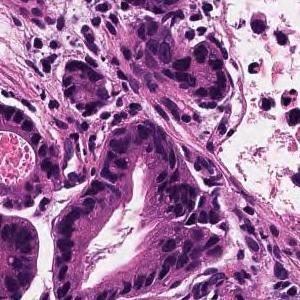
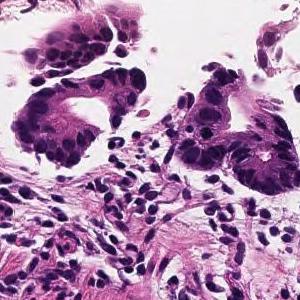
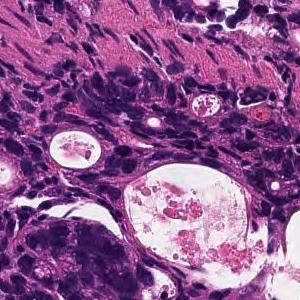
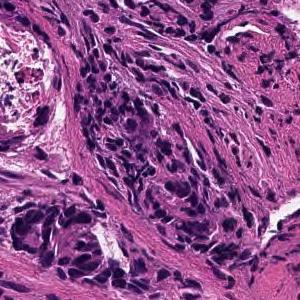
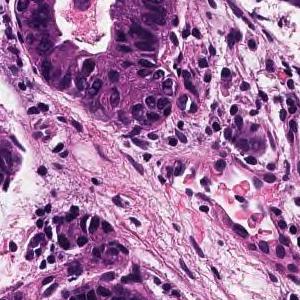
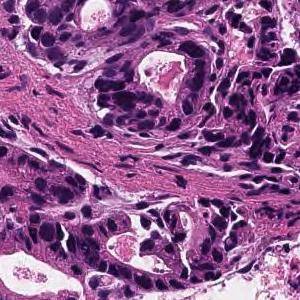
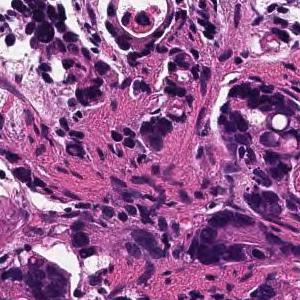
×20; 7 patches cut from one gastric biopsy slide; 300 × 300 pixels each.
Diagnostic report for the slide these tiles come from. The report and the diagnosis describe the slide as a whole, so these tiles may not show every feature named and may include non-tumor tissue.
In the superficial epithelium, tumor tissue that invades by forming medium-sized to small, irregular ducts is observed. moderately differentiated tubular adenocarcinoma.
